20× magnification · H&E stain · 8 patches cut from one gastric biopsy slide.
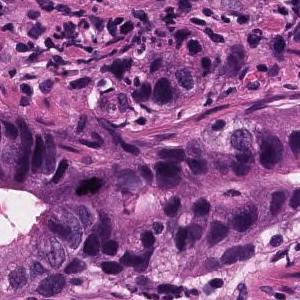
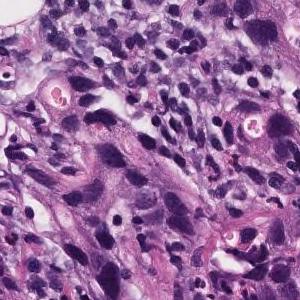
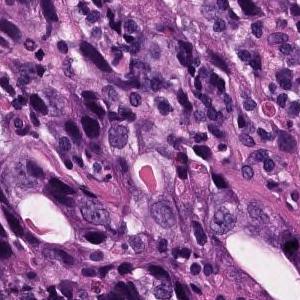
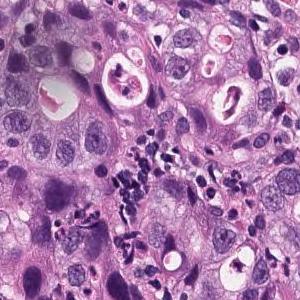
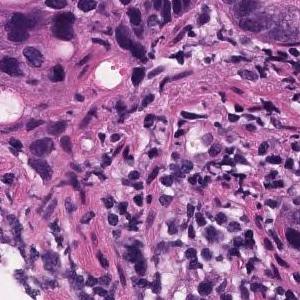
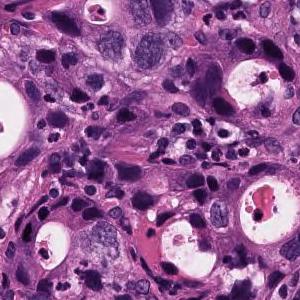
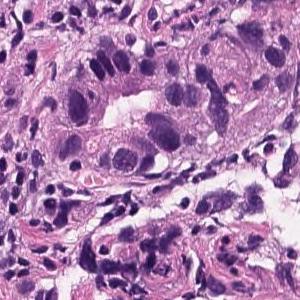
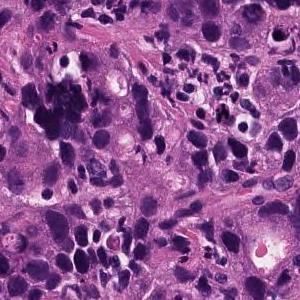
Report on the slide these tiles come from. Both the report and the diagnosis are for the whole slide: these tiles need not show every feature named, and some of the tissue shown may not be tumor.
In the superficial epithelium, tumor tissue that invades by forming medium-sized to small, irregular ducts is observed. Moderately differentiated adenocarcinoma.
Subtype: Moderately differentiated tubular adenocarcinoma.
